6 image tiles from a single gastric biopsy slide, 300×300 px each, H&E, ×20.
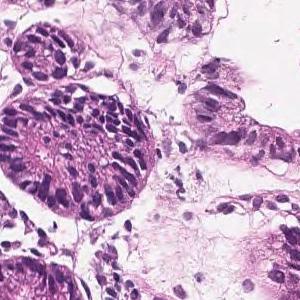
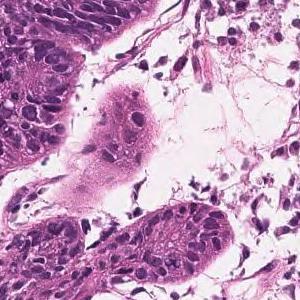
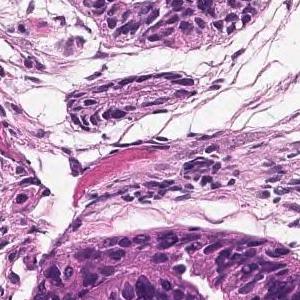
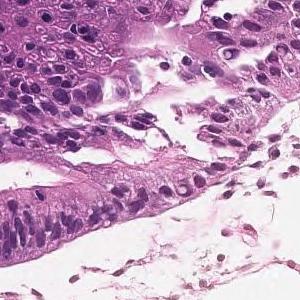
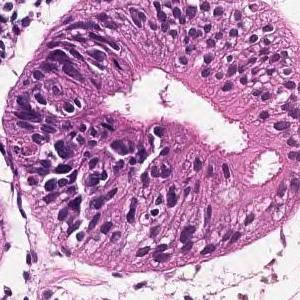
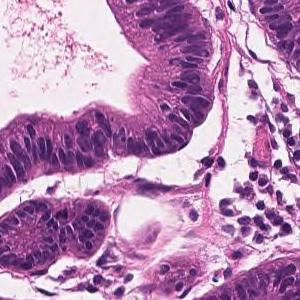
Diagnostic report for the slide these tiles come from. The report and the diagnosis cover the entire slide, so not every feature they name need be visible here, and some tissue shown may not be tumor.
In the superficial epithelium, tumor tissue that invades by forming medium-sized to small, irregular ducts is observed. Well differentiated tubular adenocarcinoma.
